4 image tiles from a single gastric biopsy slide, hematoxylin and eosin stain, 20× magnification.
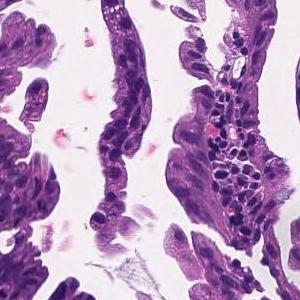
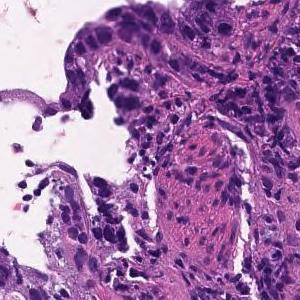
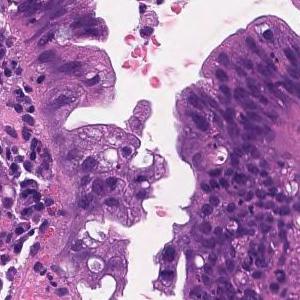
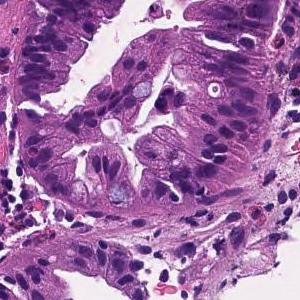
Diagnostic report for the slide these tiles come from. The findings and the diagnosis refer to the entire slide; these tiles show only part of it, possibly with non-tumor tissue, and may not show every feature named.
On the superficial epithelium, tumor tissue that infiltrates by forming medium-sized papillary or small irregular ducts is observed. Papillary adenocarcinoma
